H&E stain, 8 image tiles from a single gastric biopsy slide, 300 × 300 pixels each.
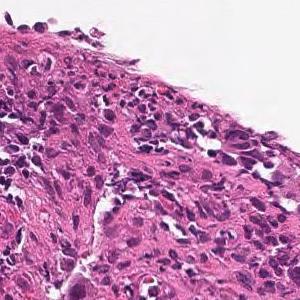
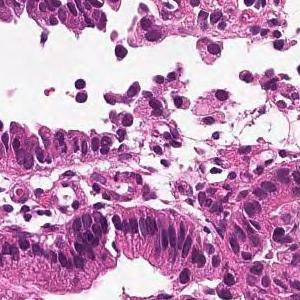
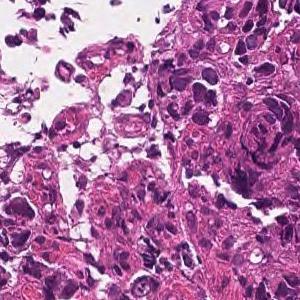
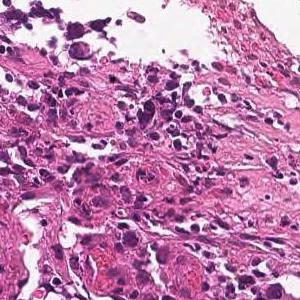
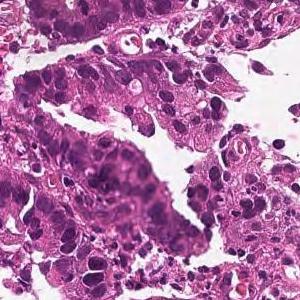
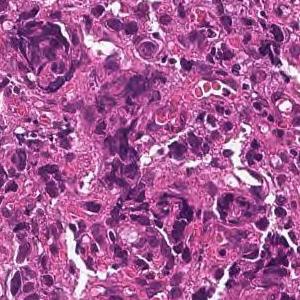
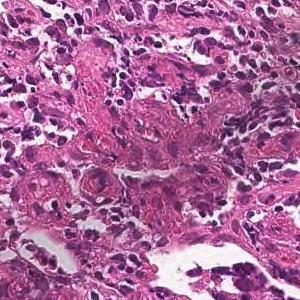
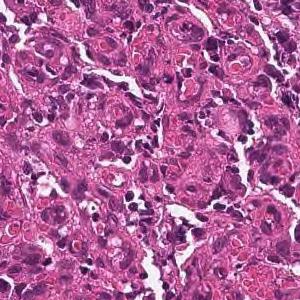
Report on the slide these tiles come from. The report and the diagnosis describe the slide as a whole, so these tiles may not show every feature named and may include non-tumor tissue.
Tumor tissue consisting of medium-sized, cord-like or irregular glandular infiltration is observed in the superficial epithelium. Poorly differentiated adenocarcinoma, non-solid type or moderately differentiated tubular adenocarcinoma
Subtype: Moderately to poorly differentiated adenocarcinoma.
The non-solid type named here is a Japanese Classification of Gastric Carcinoma category.
